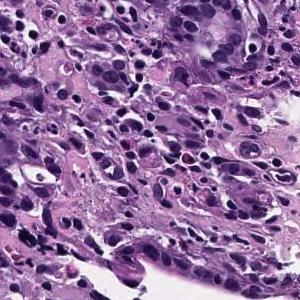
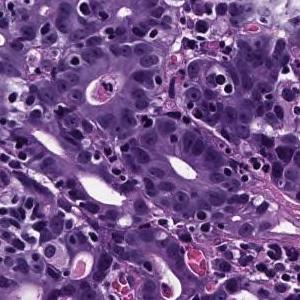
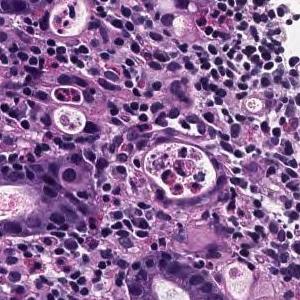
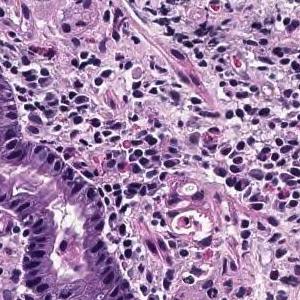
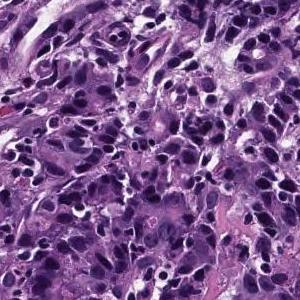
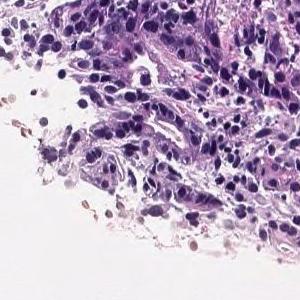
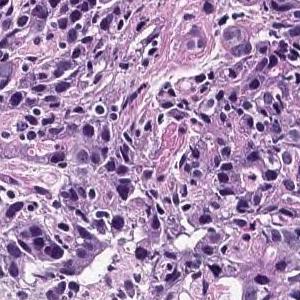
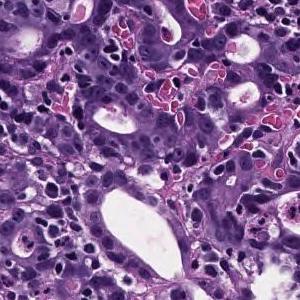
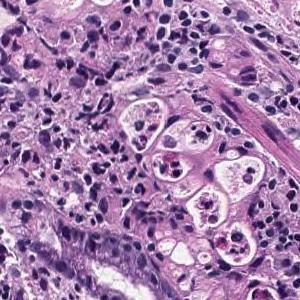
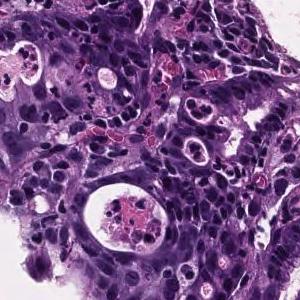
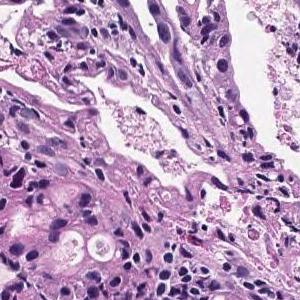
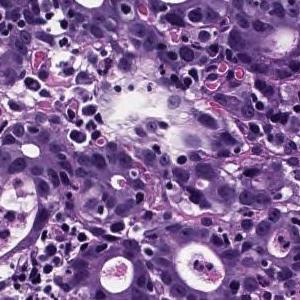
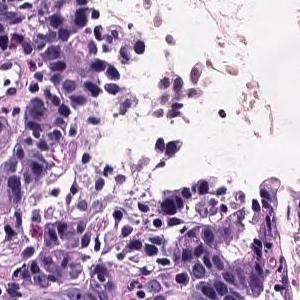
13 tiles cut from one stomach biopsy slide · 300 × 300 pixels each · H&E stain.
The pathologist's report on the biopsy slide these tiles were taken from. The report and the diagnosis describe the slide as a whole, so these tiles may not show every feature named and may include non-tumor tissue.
In the superficial epithelium, tumor tissue that invades by forming medium-sized to small, irregular ducts is observed. moderately differentiated tubular adenocarcinoma.
